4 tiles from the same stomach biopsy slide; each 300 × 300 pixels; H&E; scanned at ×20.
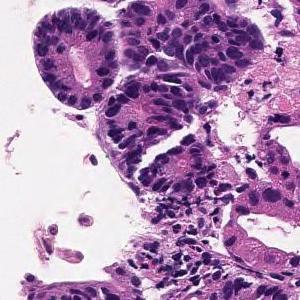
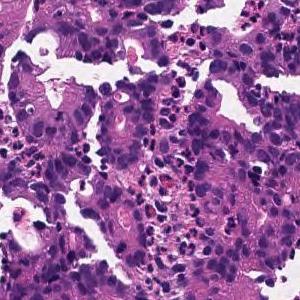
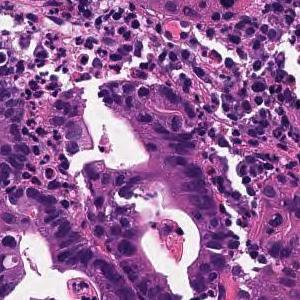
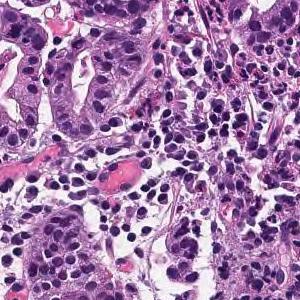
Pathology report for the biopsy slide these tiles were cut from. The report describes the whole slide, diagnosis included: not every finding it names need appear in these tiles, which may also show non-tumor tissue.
In the superficial epithelium, tumor tissue that invades by forming medium-sized to small, irregular ducts is observed. moderately differentiated tubular adenocarcinoma.
